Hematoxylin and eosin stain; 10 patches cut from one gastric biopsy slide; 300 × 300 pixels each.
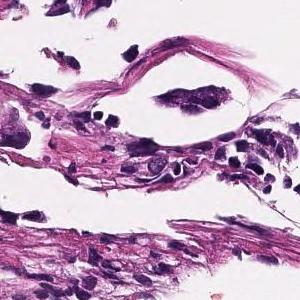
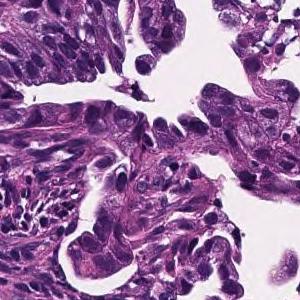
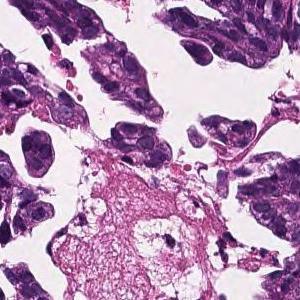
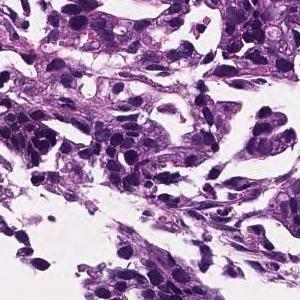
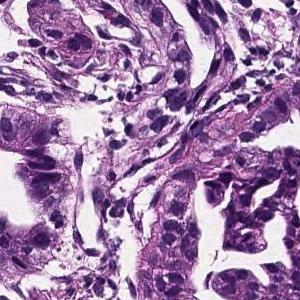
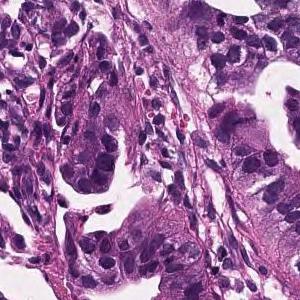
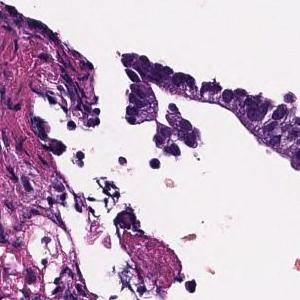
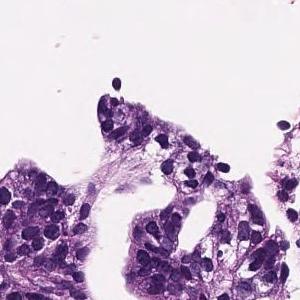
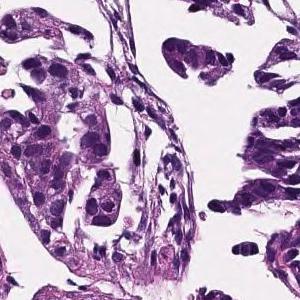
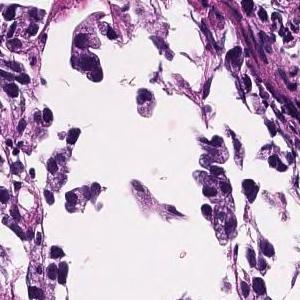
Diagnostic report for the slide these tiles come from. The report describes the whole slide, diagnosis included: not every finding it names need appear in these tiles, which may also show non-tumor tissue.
In the lamina propria, tumor tissue that invades by forming medium-sized to small, irregular glandular ducts is observed. moderately differentiated tubular adenocarcinoma
